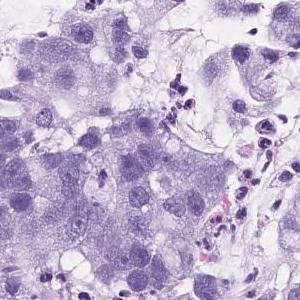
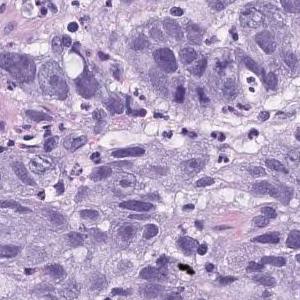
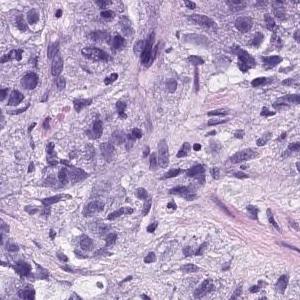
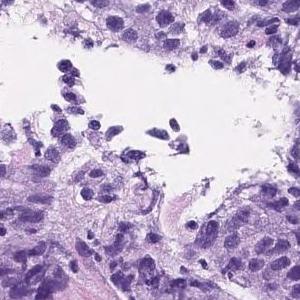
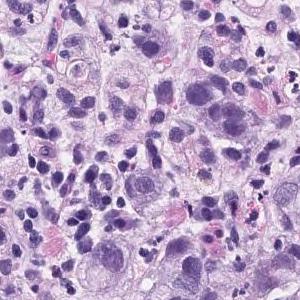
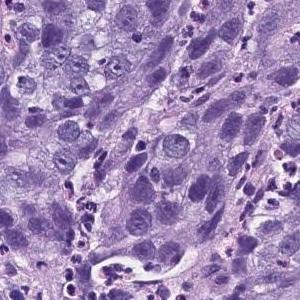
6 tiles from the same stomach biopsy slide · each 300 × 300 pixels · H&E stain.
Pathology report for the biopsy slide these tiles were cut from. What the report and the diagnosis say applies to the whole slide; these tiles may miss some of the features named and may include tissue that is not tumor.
Atypical l cells with atypical nuclei forming solid vesicles or small irregular atypical ducts that proliferate in a complex manner. poorly differentiated adenocarcinoma, solid type, moderately differentiated tubular adenocarcinoma
The term "solid type" comes from the Japanese Classification of Gastric Carcinoma; the WHO 2019 equivalent is tubular adenocarcinoma, poorly differentiated.
